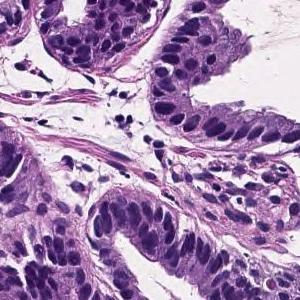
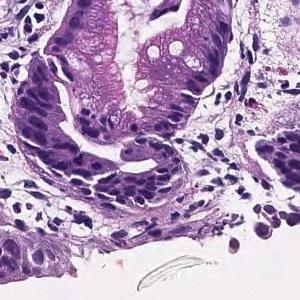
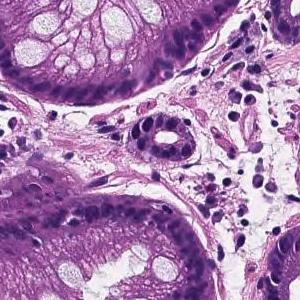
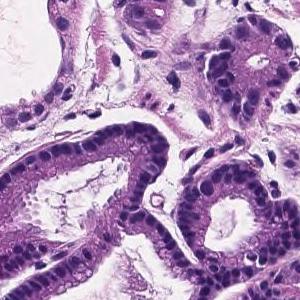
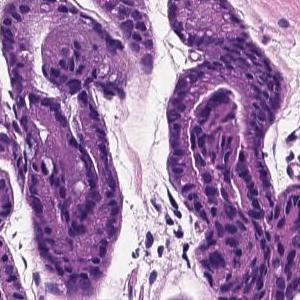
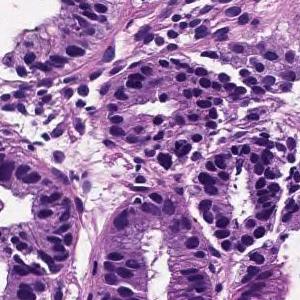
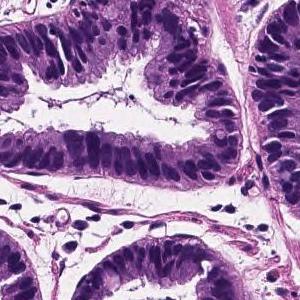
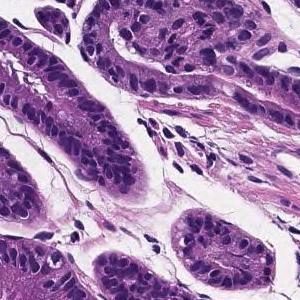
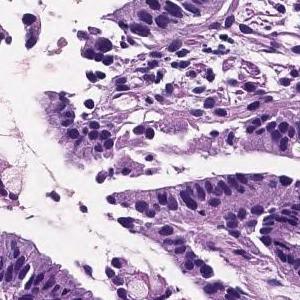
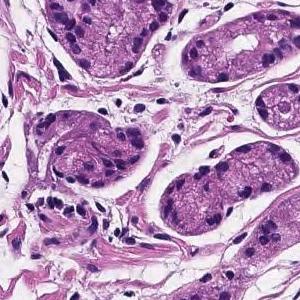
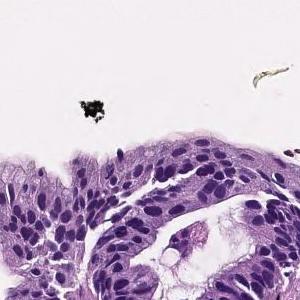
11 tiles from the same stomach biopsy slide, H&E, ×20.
The pathologist's report on the biopsy slide these tiles were taken from. The report and the diagnosis cover the entire slide, so not every feature they name need be visible here, and some tissue shown may not be tumor.
Tumor cells are large, highly columnar, large club-shaped nuclei, and are associated with chromatin aggregation. Papillary adenocarcinoma.
